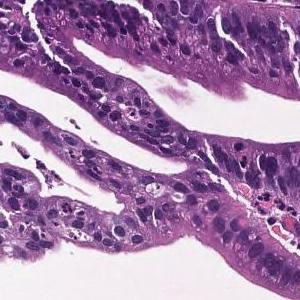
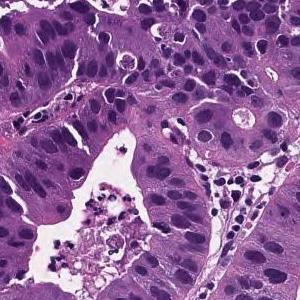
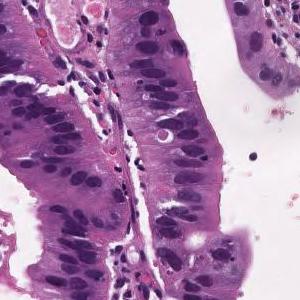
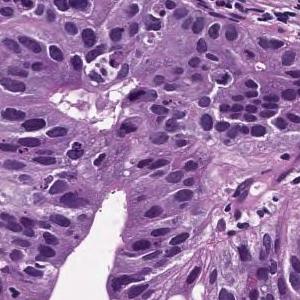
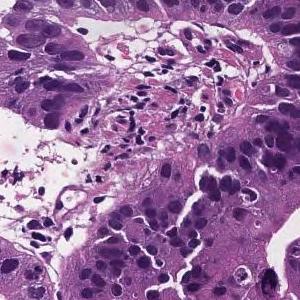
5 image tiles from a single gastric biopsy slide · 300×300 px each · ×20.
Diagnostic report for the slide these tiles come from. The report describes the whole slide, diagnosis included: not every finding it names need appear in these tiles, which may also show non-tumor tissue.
Tumor cells are large, highly columnar, large club-shaped nuclei, and are associated with chromatin aggregation. Papillary adenocarcinoma.
